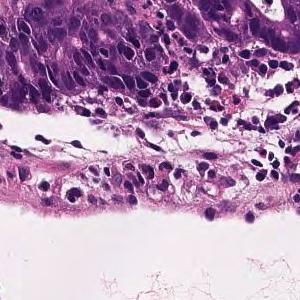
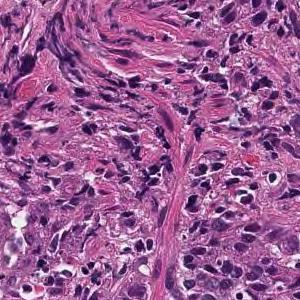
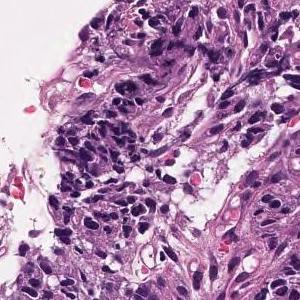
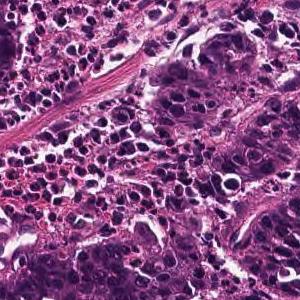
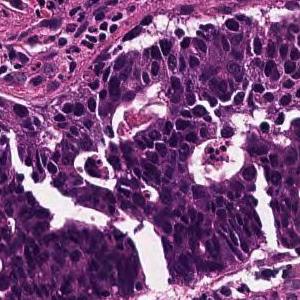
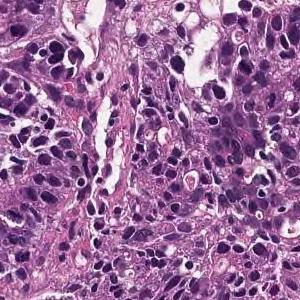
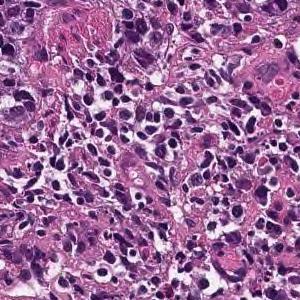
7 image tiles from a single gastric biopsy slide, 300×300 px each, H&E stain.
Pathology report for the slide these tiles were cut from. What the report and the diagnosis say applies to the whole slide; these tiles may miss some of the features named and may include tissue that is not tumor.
Medium to small, irregular glandular ducts are formed in the superficial epithelium, and in some cases, the glandular ducts are fused to show solid alveolar lesions and infiltrating tumor tissue is observed. Moderately to poorly differentiated adenocarcinoma.
